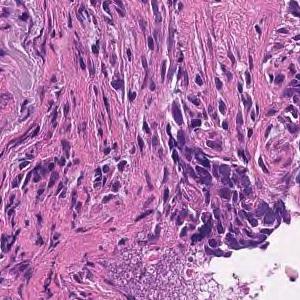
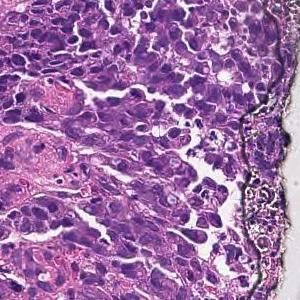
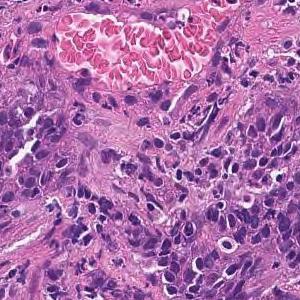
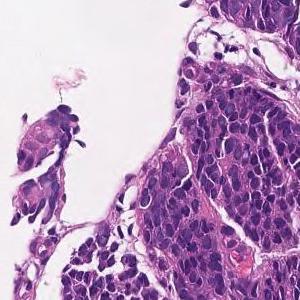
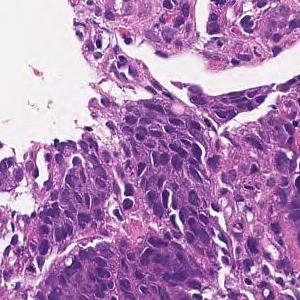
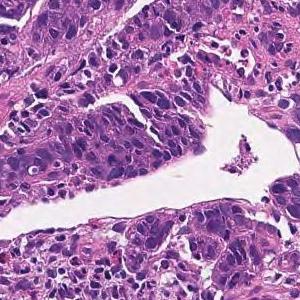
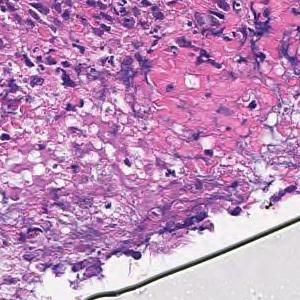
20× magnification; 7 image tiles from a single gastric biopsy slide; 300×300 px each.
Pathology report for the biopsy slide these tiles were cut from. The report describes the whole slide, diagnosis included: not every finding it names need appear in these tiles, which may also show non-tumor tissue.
Tumor tissue consisting of cord-like or small, irregular glandular ducts fused and infiltrated is observed in the superficial epithelium. Poorly differentiated adenocarcinoma, non-solid type
"Non-solid type" is a category of the Japanese Classification of Gastric Carcinoma.
